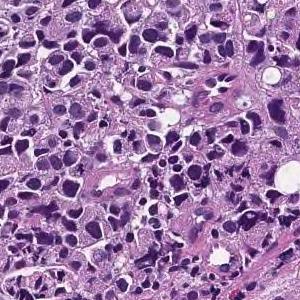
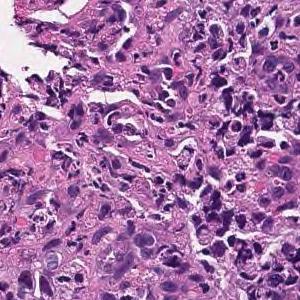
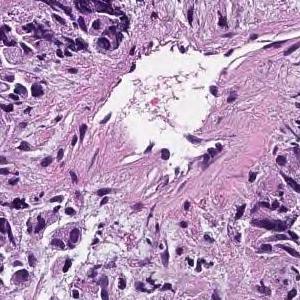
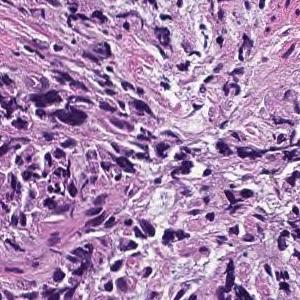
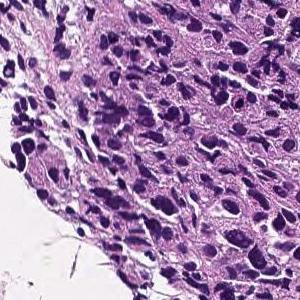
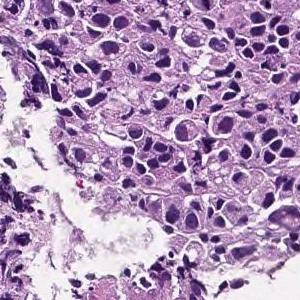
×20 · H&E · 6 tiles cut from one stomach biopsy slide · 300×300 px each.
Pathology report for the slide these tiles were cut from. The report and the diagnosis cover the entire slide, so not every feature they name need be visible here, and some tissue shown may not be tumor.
The lamina propria shows small cord-like tumor tissue that infiltrates with fibrosis and marked chronic inflammatory cell infiltration. Poorly differentiated adenocarcinoma, non-solid type
The term "non-solid type" comes from the Japanese Classification of Gastric Carcinoma.
